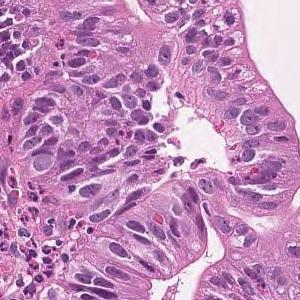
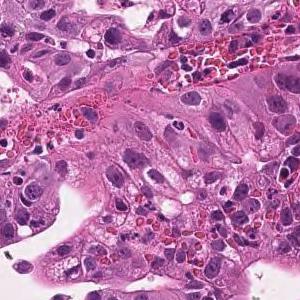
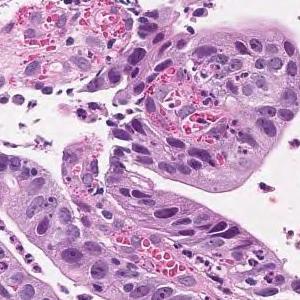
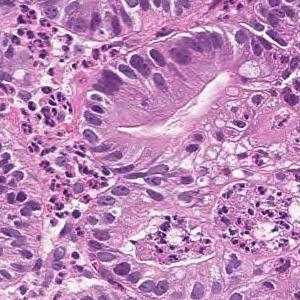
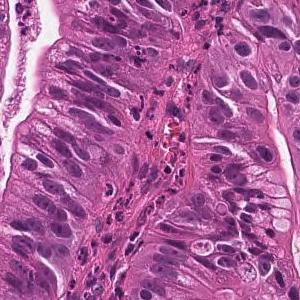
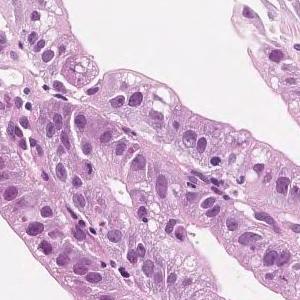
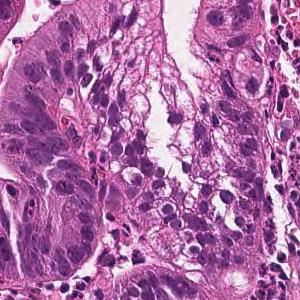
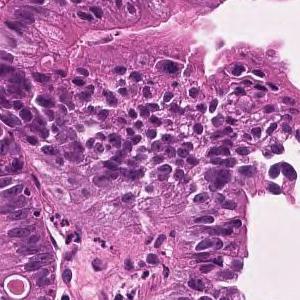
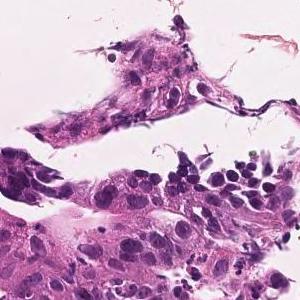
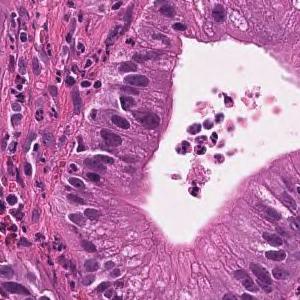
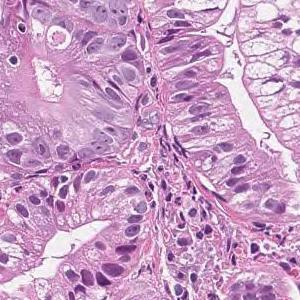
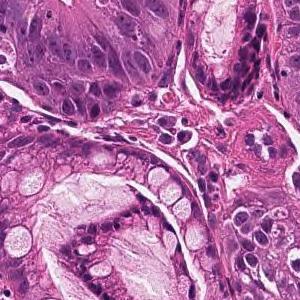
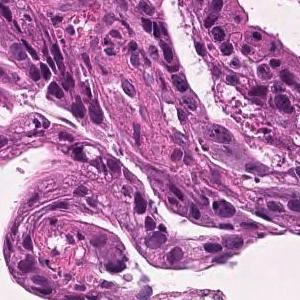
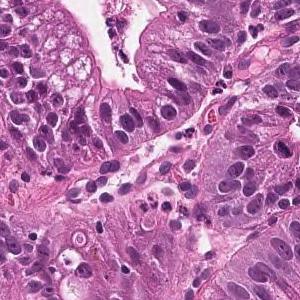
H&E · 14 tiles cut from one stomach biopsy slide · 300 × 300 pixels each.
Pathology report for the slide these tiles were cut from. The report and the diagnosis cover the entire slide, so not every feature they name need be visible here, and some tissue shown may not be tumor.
Tumor cells are large, highly columnar, large club-shaped nuclei, and are associated with chromatin aggregation. Papillary adenocarcinoma.
